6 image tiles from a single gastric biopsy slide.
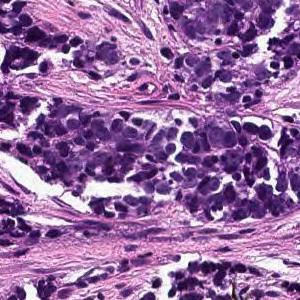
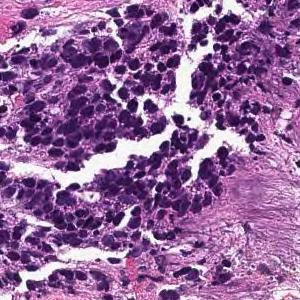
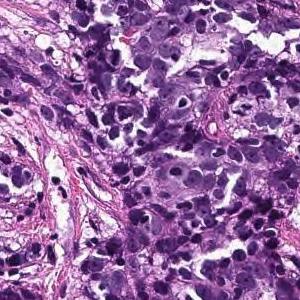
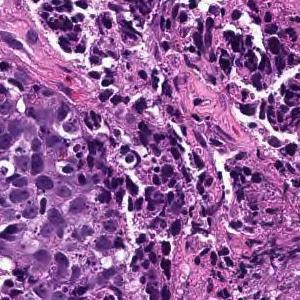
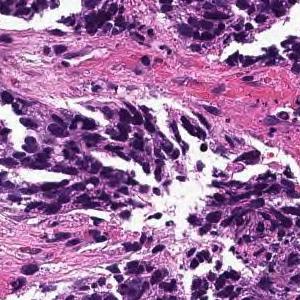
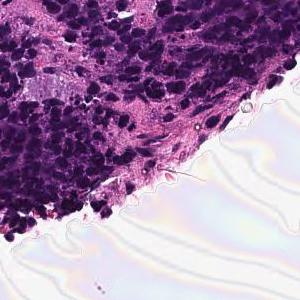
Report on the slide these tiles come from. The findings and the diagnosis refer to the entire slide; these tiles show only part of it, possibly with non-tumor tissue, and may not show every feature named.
The superficial epithelium shows a large sheet or alveolar shape, and tumor tissue infiltrating without irregular ducts is observed. Poorly differentiated adenocarcinoma, solid-type
Tumor subtype: poorly differentiated adenocarcinoma, solid type (Japanese Classification of Gastric Carcinoma). The WHO 2019 equivalent is tubular adenocarcinoma, poorly differentiated.
